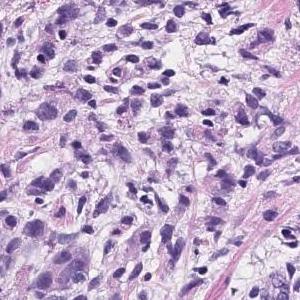
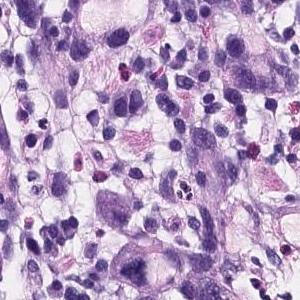
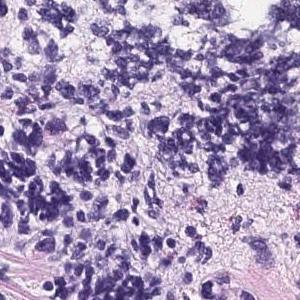
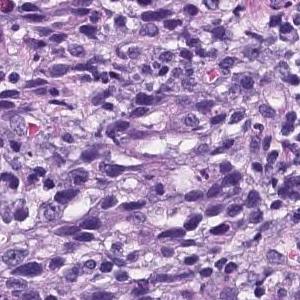
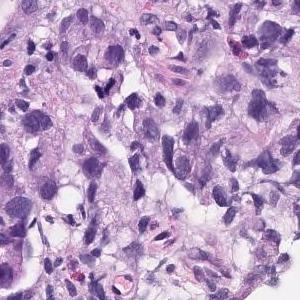
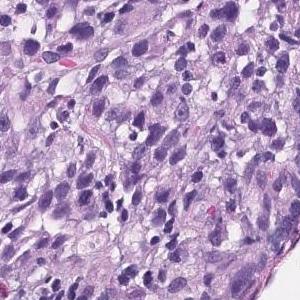
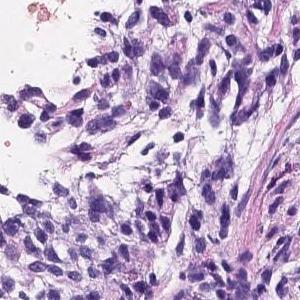
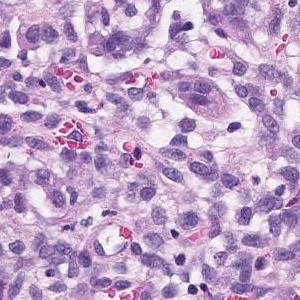
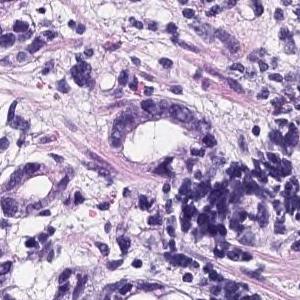
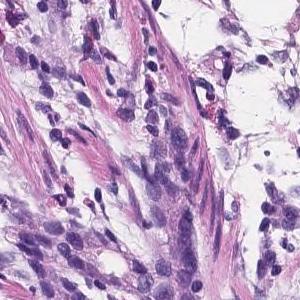
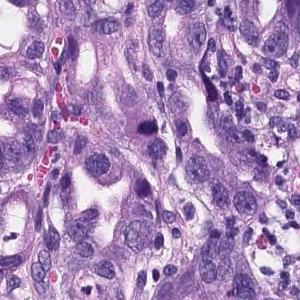
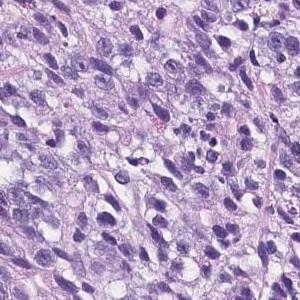
Hematoxylin and eosin stain, 12 tiles from the same stomach biopsy slide.
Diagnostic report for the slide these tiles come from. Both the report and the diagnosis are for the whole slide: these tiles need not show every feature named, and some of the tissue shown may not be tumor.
There are atypical l cells with atypical nuclei forming cord-like or irregular atypical ducts from solidity and proliferating in a comprehensive manner. Poorly differentiated adenocarcinoma, Moderately differentiated adenocarcinoma (poorly differentiated adenocarcinoma, solid type moderately differentiated tubular adenocarcinoma)
Subtype: Moderately to poorly differentiated adenocarcinoma.
"Solid type" is a category of the Japanese Classification of Gastric Carcinoma; in the WHO 2019 classification it is tubular adenocarcinoma, poorly differentiated.
